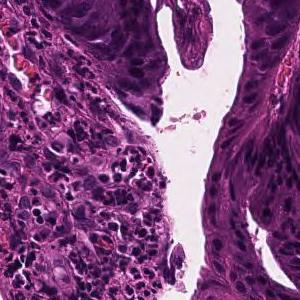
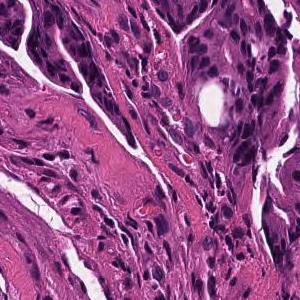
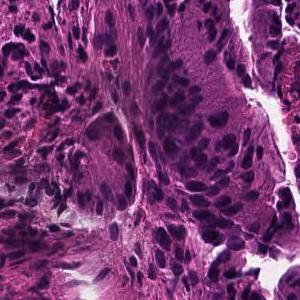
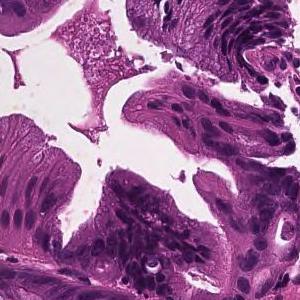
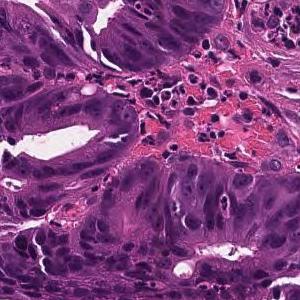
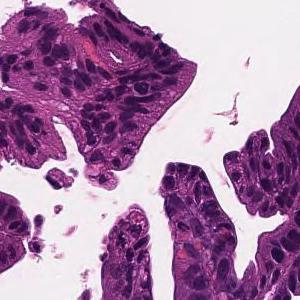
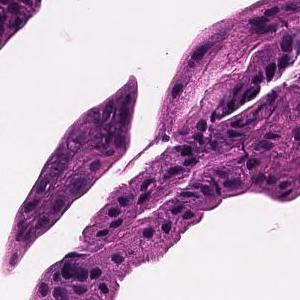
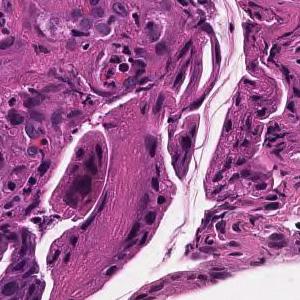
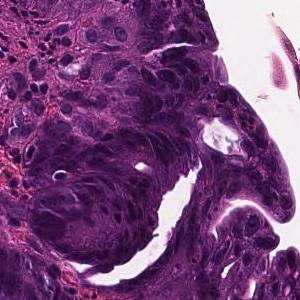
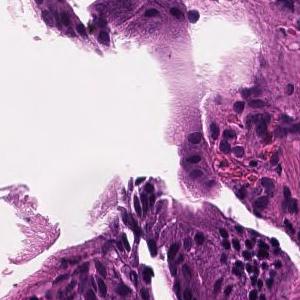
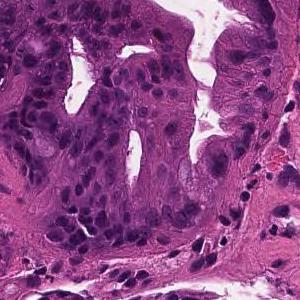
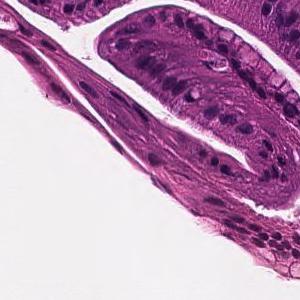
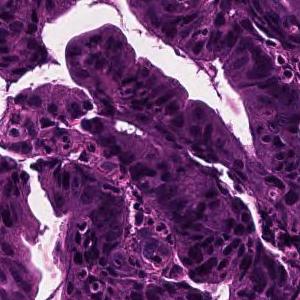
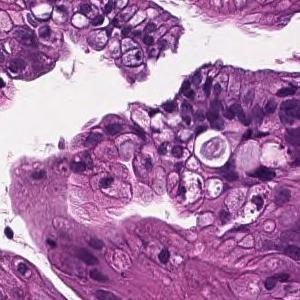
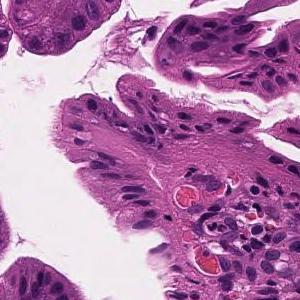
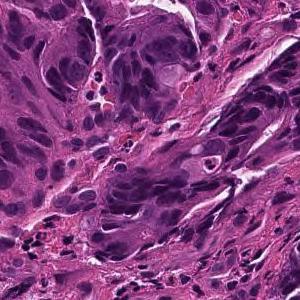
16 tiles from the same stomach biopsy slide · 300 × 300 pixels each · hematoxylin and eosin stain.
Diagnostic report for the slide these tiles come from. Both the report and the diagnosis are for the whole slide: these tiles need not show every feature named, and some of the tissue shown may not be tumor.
Tumor cells are large, highly columnar, large club-shaped nuclei, and are associated with chromatin aggregation. Papillary adenocarcinoma.
